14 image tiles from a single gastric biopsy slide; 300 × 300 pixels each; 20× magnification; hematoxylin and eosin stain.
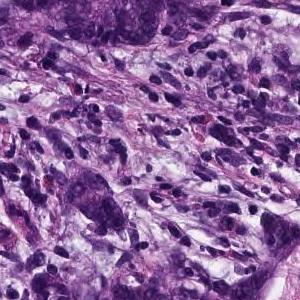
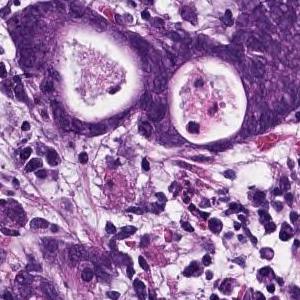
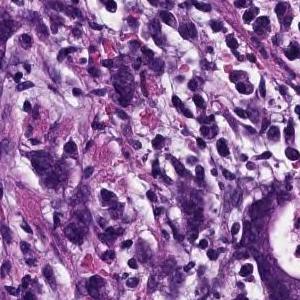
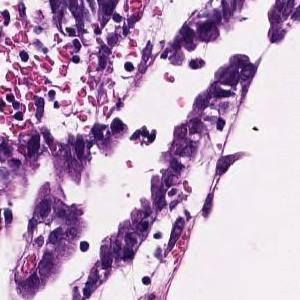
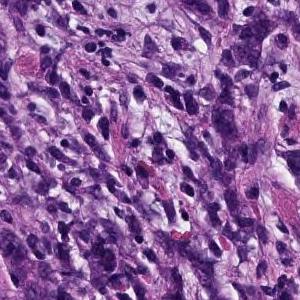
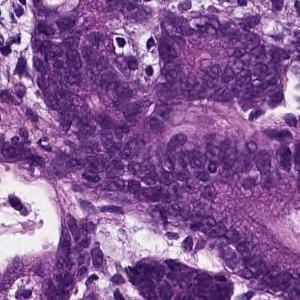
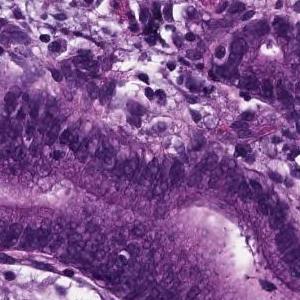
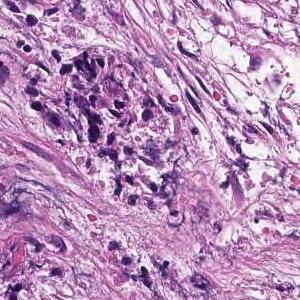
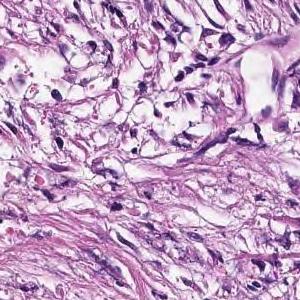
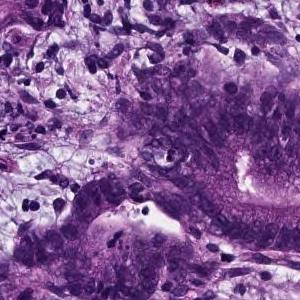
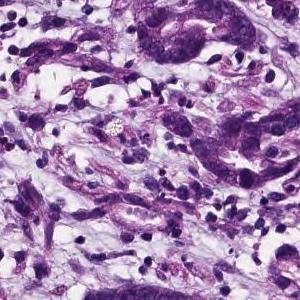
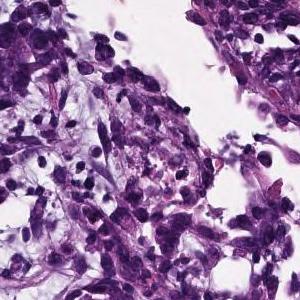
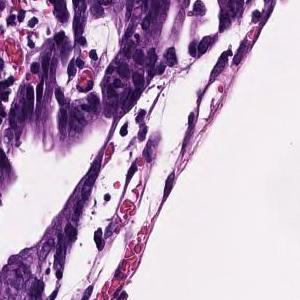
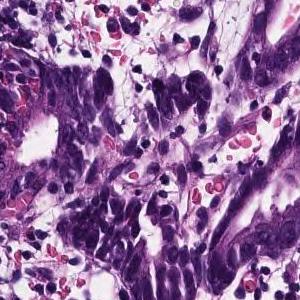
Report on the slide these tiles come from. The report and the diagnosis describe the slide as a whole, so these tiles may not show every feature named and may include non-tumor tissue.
Tumor tissue consisting of medium-sized, cord-like or irregular glandular infiltration is observed in the superficial epithelium. Poorly differentiated adenocarcinoma, non-solid type or moderately differentiated tubular adenocarcinoma
Classified as moderately to poorly differentiated adenocarcinoma.
The term "non-solid type" comes from the Japanese Classification of Gastric Carcinoma.
